H&E stain; 15 tiles cut from one stomach biopsy slide.
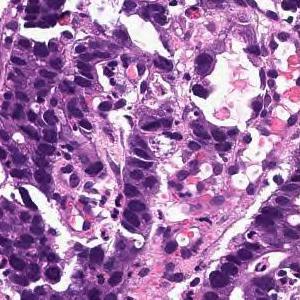
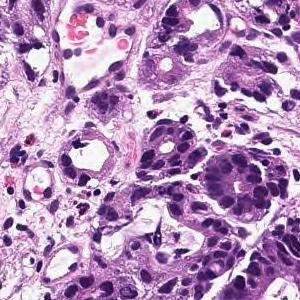
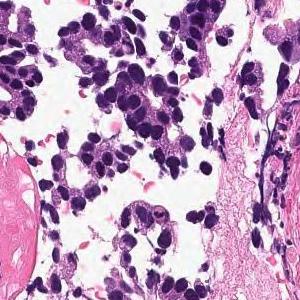
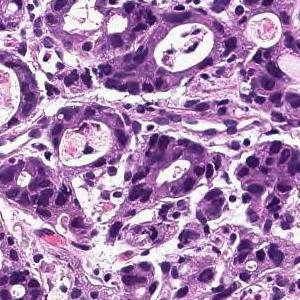
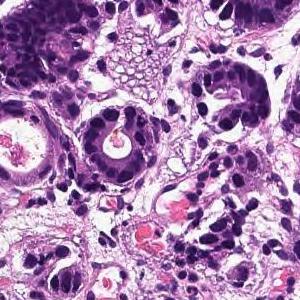
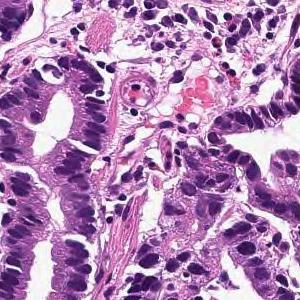
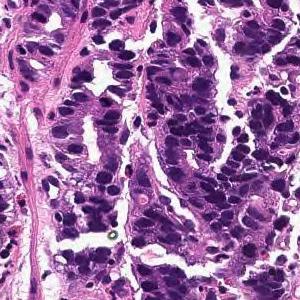
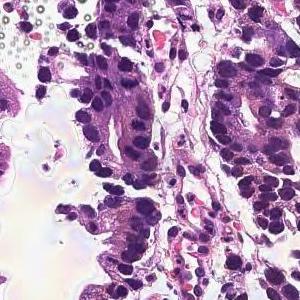
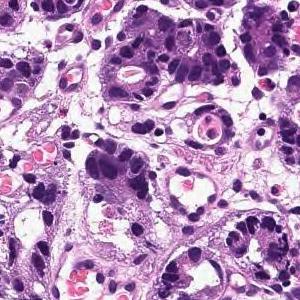
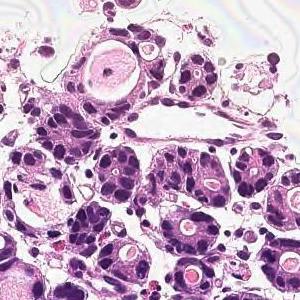
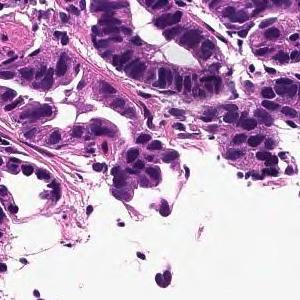
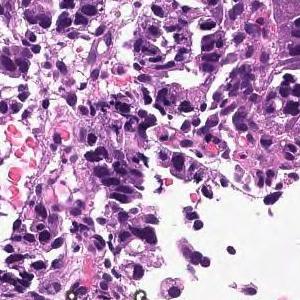
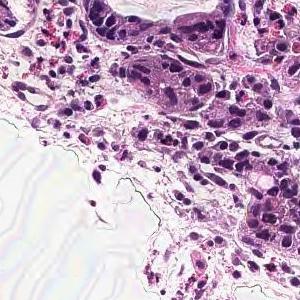
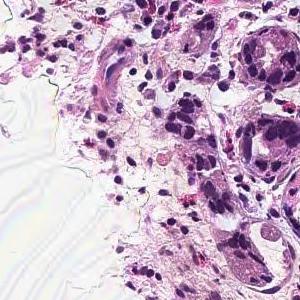
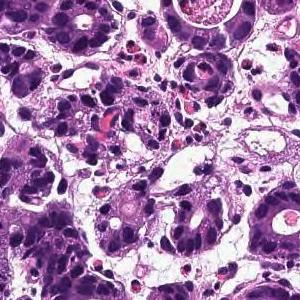
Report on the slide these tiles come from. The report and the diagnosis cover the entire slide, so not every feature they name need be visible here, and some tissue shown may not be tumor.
In the superficial epithelium, tumor tissue that invades by forming medium-sized to small, irregular ducts is observed. moderately differentiated tubular adenocarcinoma.
